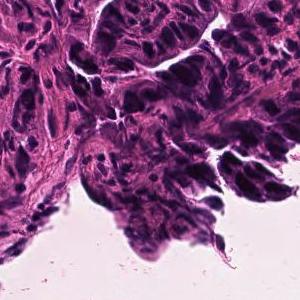
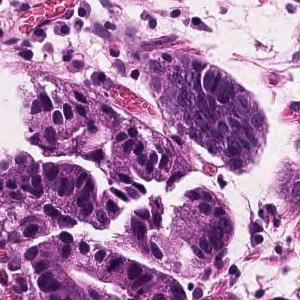
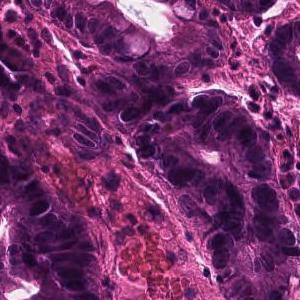
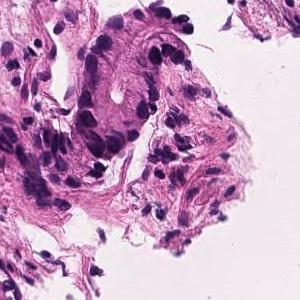
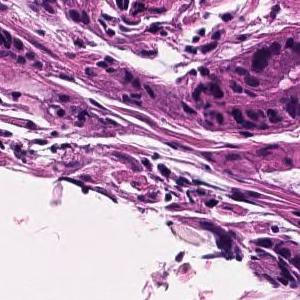
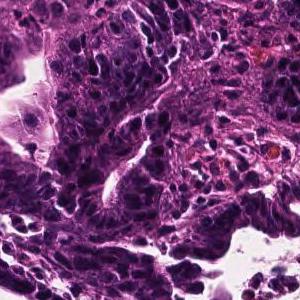
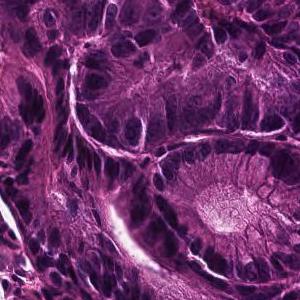
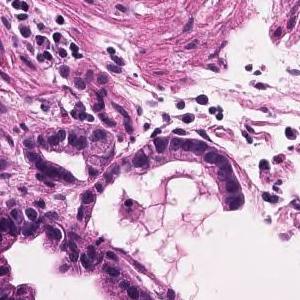
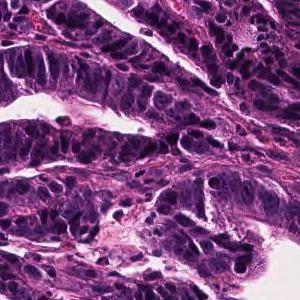
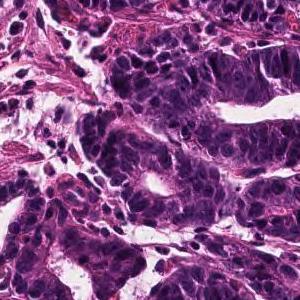
×20 · 10 tiles from the same stomach biopsy slide.
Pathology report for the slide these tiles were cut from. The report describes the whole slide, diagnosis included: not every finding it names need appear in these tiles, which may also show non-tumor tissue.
In the superficial epithelium, tumor tissue that invades by forming medium-sized to small, irregular ducts is observed. Well differentiated tubular adenocarcinoma.
